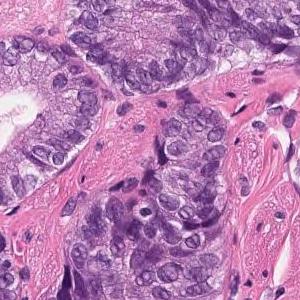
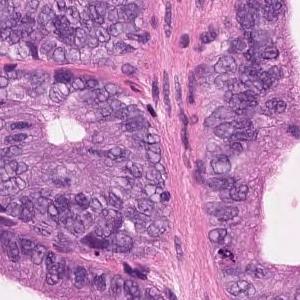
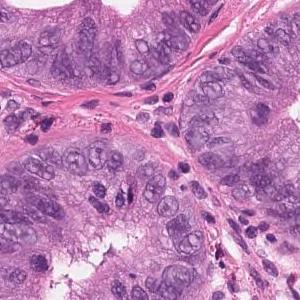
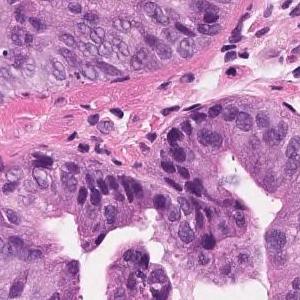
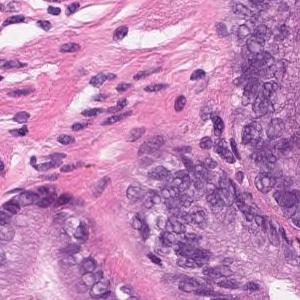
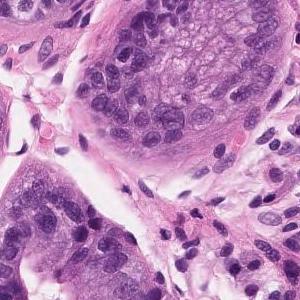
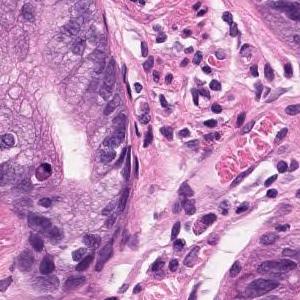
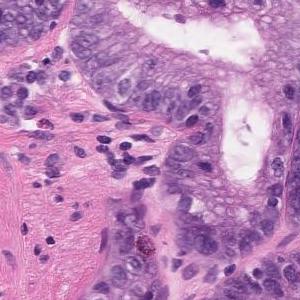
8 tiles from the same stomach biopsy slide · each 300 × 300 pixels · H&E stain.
Pathology report for the slide these tiles were cut from. The report and the diagnosis describe the slide as a whole, so these tiles may not show every feature named and may include non-tumor tissue.
Atypical l cells with atypical nuclei forming irregular glandular ducts. Well differentiated tubuar adenocarcinoma (well differentiated tubular adenocarcinoma)
Subtype: Well differentiated tubular adenocarcinoma.
